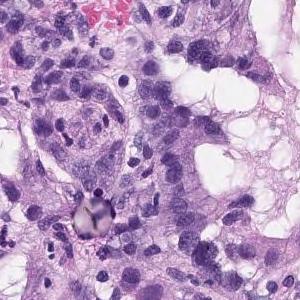
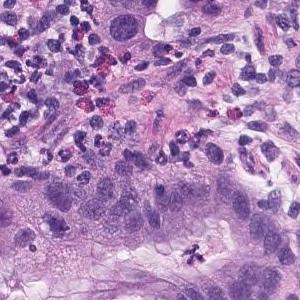
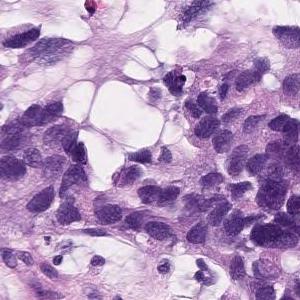
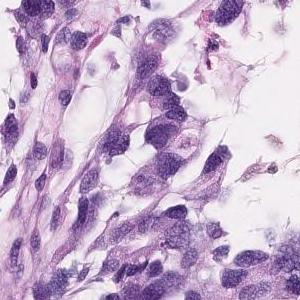
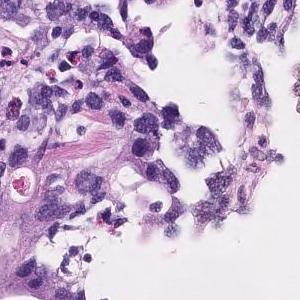
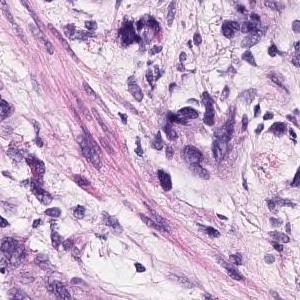
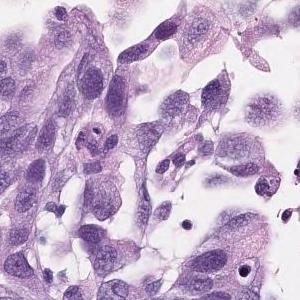
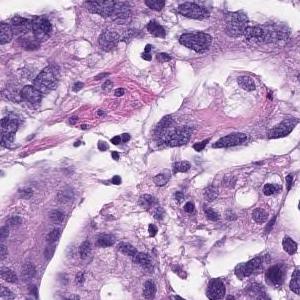
Hematoxylin and eosin stain; 8 tiles cut from one stomach biopsy slide; 300×300 px each.
The pathologist's report on the biopsy slide these tiles were taken from. The findings and the diagnosis refer to the entire slide; these tiles show only part of it, possibly with non-tumor tissue, and may not show every feature named.
Group 5, Adenocarcinoma. Moderately to poorly differentiated adenocarcinoma
